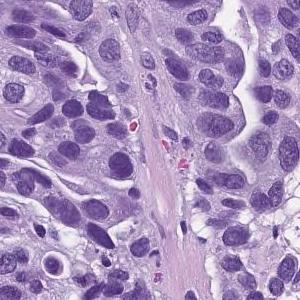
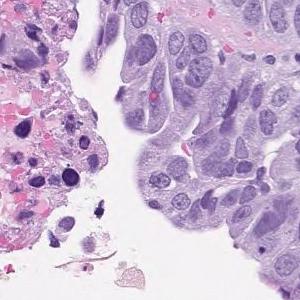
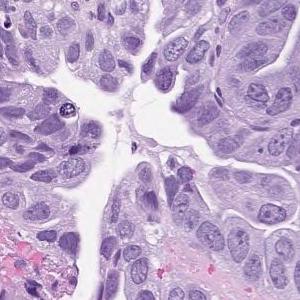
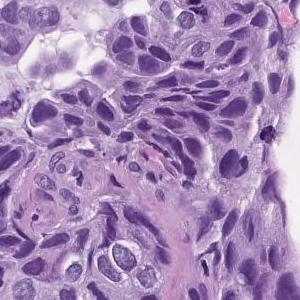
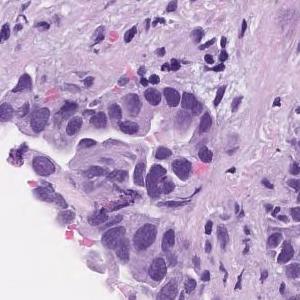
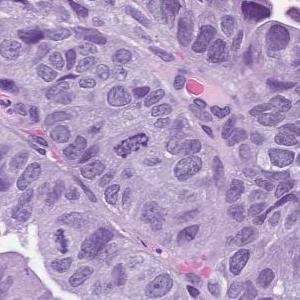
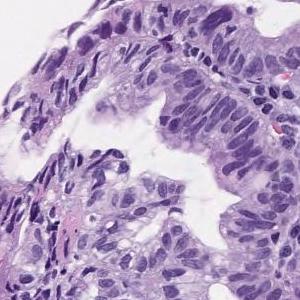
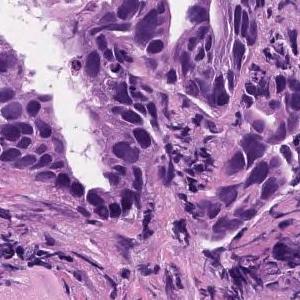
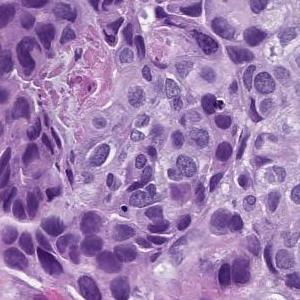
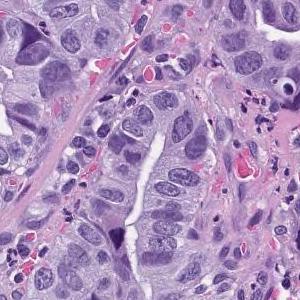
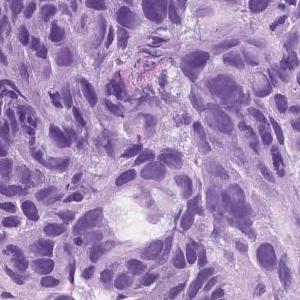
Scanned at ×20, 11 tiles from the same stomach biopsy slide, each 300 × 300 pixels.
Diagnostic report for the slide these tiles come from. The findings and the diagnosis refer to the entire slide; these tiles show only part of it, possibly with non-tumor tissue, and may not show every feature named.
In the superficial epithelium, tumor tissue that invades by forming medium-sized to small, irregular ducts is observed. moderately differentiated tubular adenocarcinoma.
